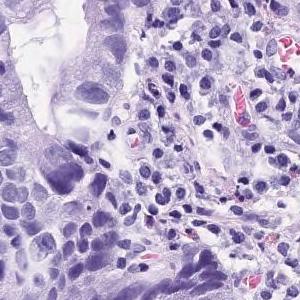
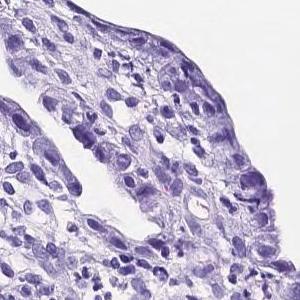
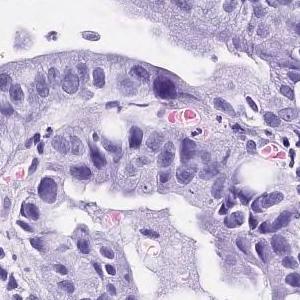
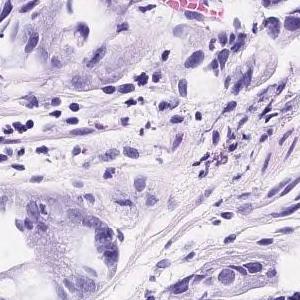
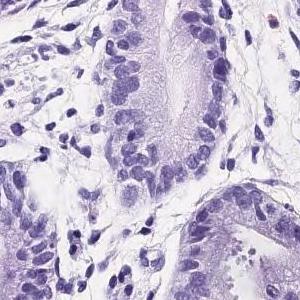
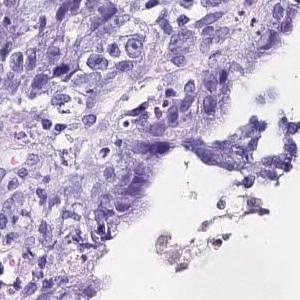
6 image tiles from a single gastric biopsy slide, 300×300 px each, scanned at ×20.
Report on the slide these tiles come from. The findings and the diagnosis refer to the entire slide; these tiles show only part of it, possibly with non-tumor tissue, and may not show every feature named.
Tumor tissue consisting of medium-sized and irregular ducts is observed infiltrating in the superficial epithelium. Tumor cells are highly columnar, with nuclei aligned basolaterally and polarized. Well differentiated tubular adenocarcinoma.
